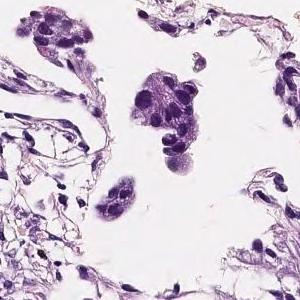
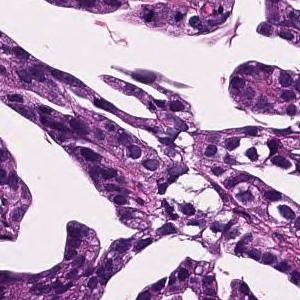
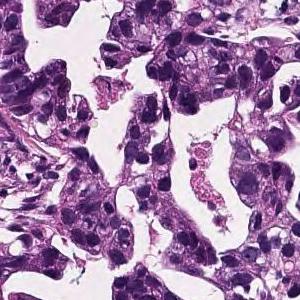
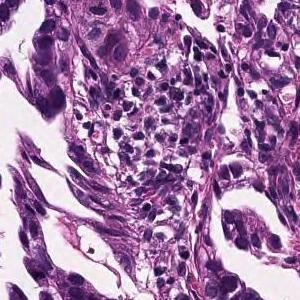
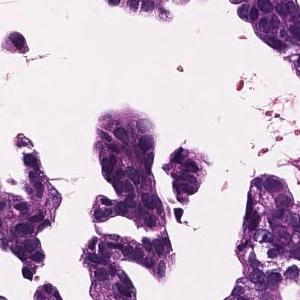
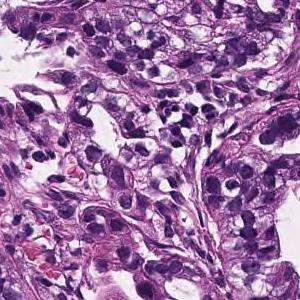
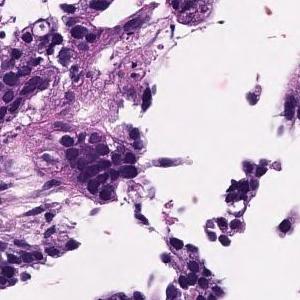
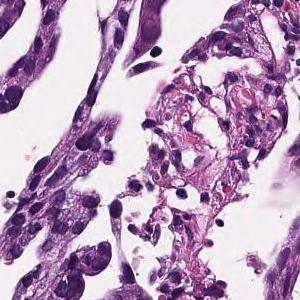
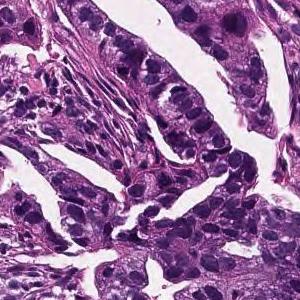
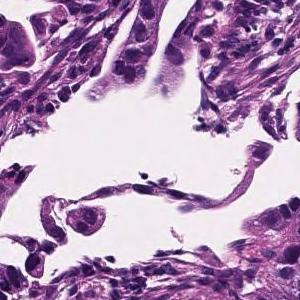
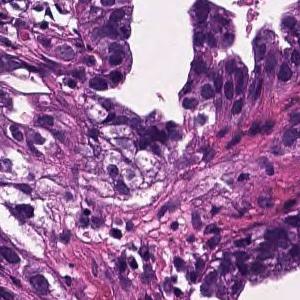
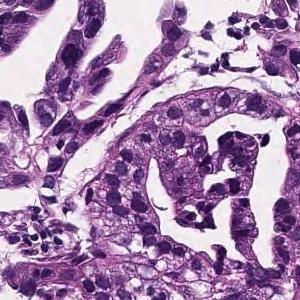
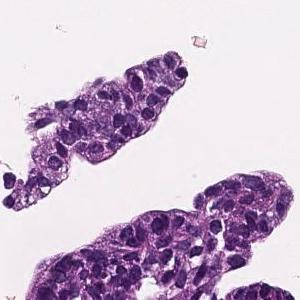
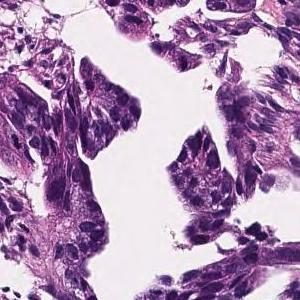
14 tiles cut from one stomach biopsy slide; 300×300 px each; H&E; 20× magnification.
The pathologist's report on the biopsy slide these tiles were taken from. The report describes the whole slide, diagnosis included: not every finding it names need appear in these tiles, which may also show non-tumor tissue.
In the lamina propria, tumor tissue that invades by forming medium-sized to small, irregular glandular ducts is observed. moderately differentiated tubular adenocarcinoma
